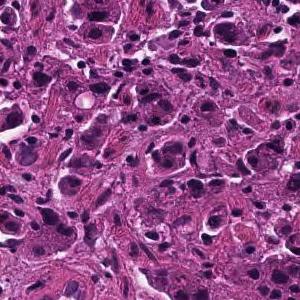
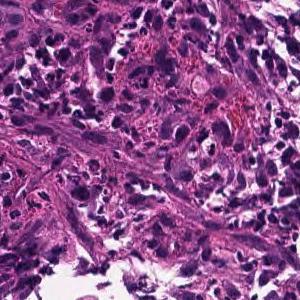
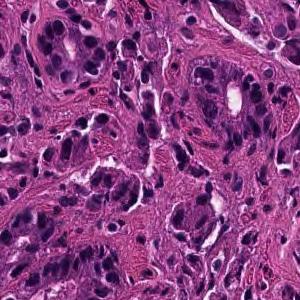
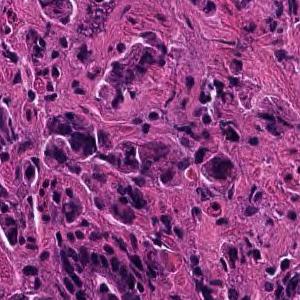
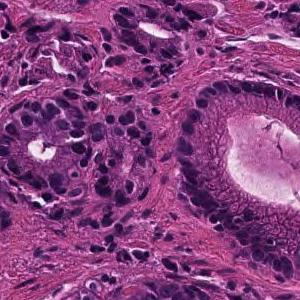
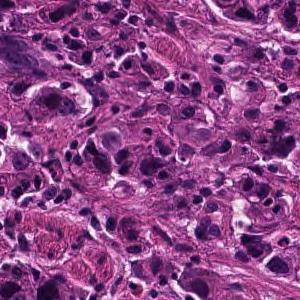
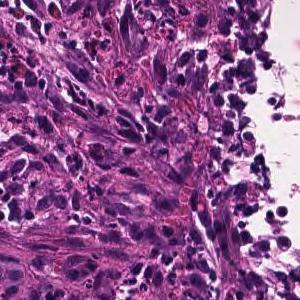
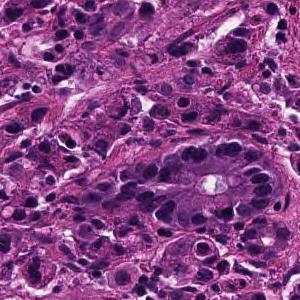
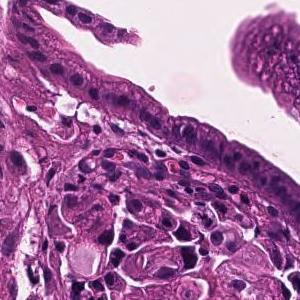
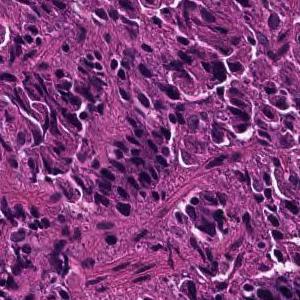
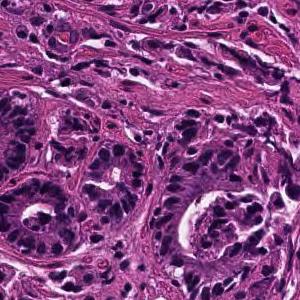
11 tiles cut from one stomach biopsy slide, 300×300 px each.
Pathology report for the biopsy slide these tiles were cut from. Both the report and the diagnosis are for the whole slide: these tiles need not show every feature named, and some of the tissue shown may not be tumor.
Tumor tissue consisting of cord-like or small, irregular glandular ducts fused and infiltrated is observed in the superficial epithelium. Poorly differentiated adenocarcinoma, non-solid type
The non-solid type named here is a Japanese Classification of Gastric Carcinoma category.
